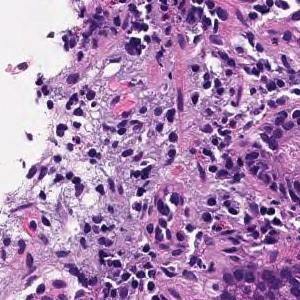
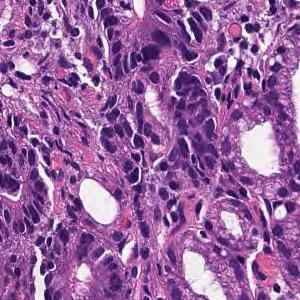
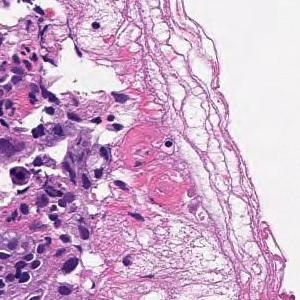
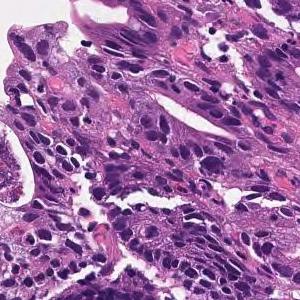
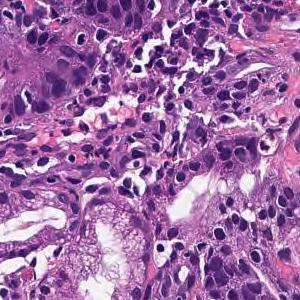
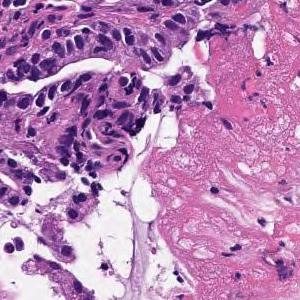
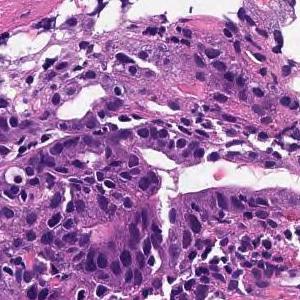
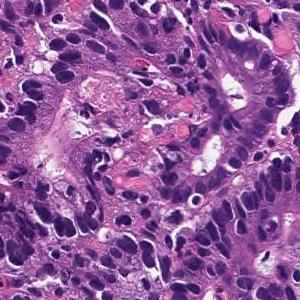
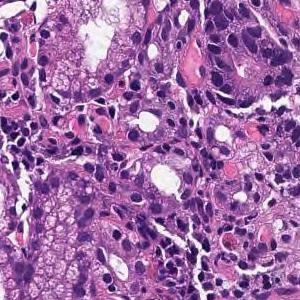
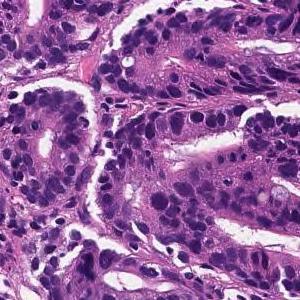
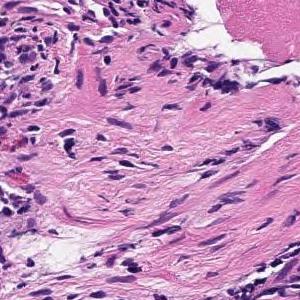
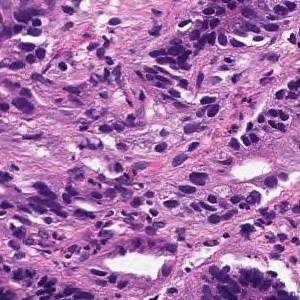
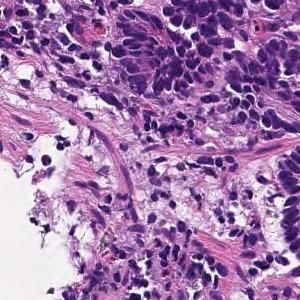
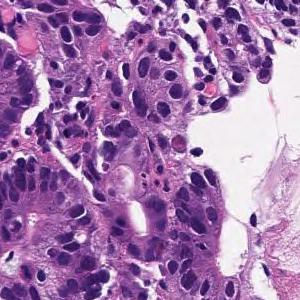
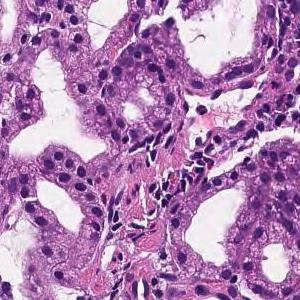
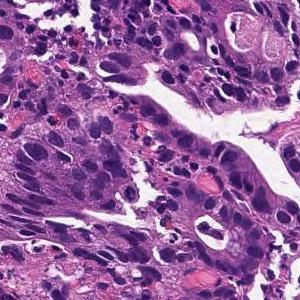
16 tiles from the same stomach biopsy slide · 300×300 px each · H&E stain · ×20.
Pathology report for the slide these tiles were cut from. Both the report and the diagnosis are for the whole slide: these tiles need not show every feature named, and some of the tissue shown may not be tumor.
In the superficial epithelium, tumor tissue that invades by forming medium-sized to small, irregular ducts is observed. moderately differentiated tubular adenocarcinoma.
